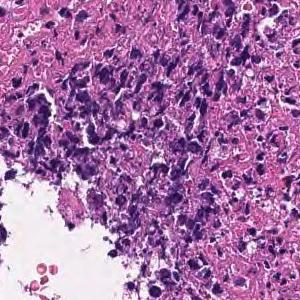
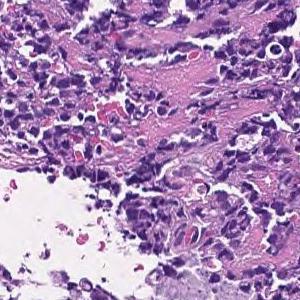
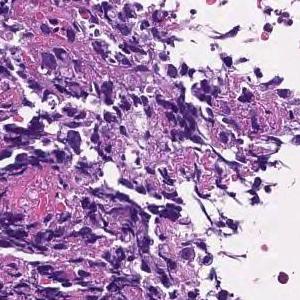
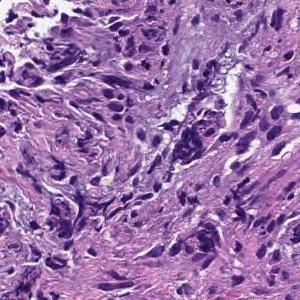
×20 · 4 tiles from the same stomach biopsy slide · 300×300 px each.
Diagnostic report for the slide these tiles come from. The report and the diagnosis cover the entire slide, so not every feature they name need be visible here, and some tissue shown may not be tumor.
Most are composed of coagulative necrotic tissue, but some show a large sheet-like shape, and some show tumor tissue infiltrating with a small cord-like structure. Poorly differentiated adenocarcinoma, solid-type
Histological subtype: Poorly differentiated adenocarcinoma, solid type. This name comes from the Japanese Classification of Gastric Carcinoma; the WHO 2019 classification calls it tubular adenocarcinoma, poorly differentiated.
